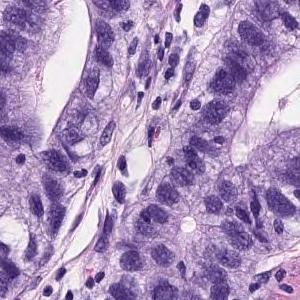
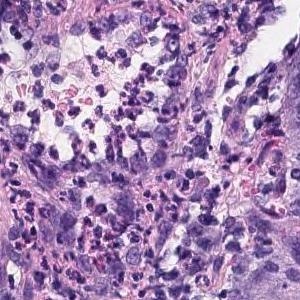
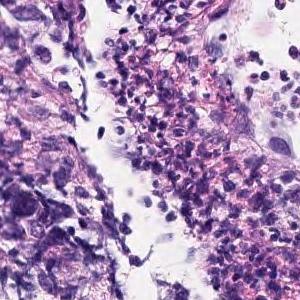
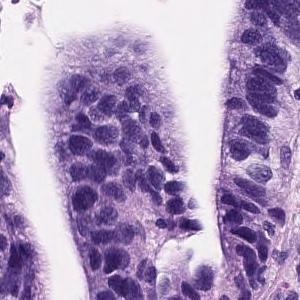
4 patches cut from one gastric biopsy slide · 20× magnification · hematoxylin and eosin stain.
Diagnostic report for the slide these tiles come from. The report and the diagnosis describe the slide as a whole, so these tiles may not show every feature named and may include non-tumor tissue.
On the superficial epithelium, tumor tissue consisting of medium to small irregular tubules partially fused and proliferated is observed. moderately differentiated tubular adenocarcinoma
